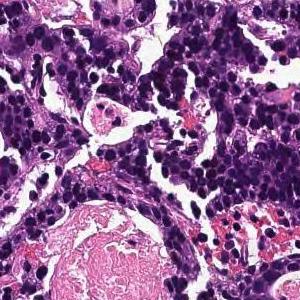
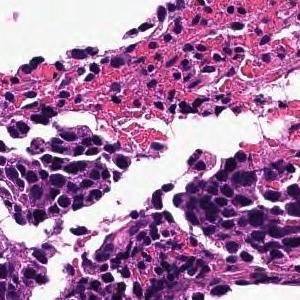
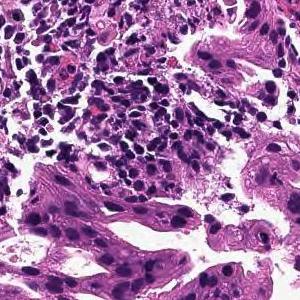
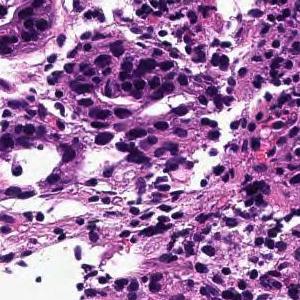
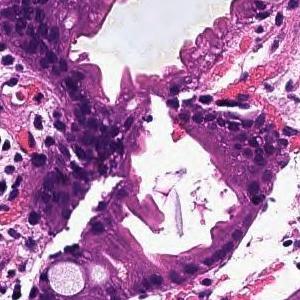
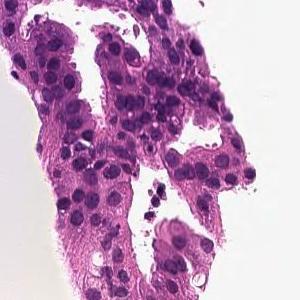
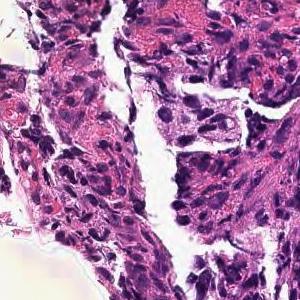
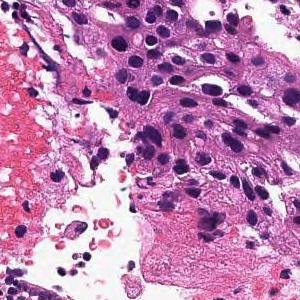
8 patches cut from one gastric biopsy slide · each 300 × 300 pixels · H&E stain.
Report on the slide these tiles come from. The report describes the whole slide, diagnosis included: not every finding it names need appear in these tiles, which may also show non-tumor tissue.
In the superficial epithelium, tumor tissue that invades by forming medium-sized to small, irregular ducts is observed. moderately differentiated tubular adenocarcinoma.
